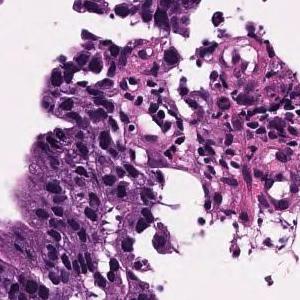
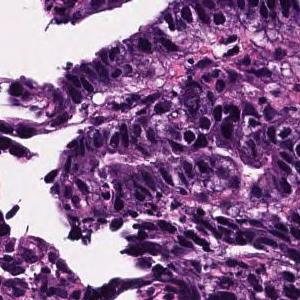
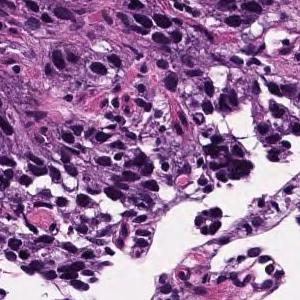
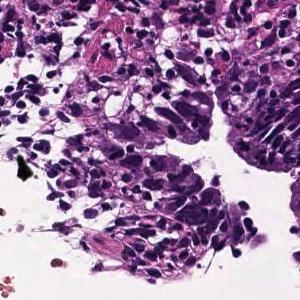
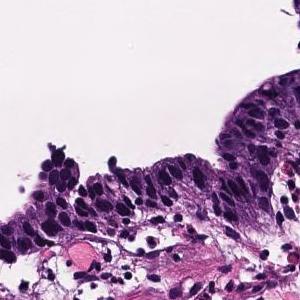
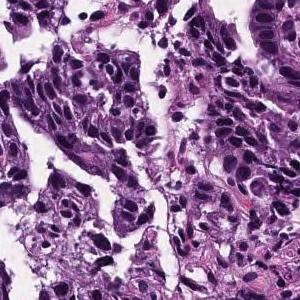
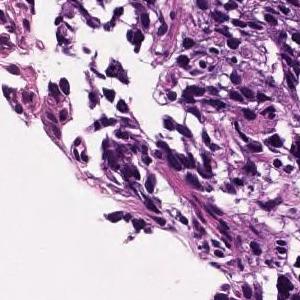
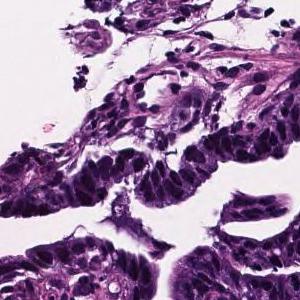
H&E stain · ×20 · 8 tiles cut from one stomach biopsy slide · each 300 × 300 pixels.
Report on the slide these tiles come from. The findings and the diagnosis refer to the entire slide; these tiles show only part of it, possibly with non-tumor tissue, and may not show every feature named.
Atypical l cells with atypical nuclei forming diffuse or small irregular atypical ducts and growing. Moderately to poorly differentiated adenocarcinoma (poorly differentiated adenocarcinoma, solid type moderately differentiated tubular adenocarcinoma)
Histologic type: Moderately to poorly differentiated adenocarcinoma.
The solid type named here is a Japanese Classification of Gastric Carcinoma category; WHO 2019 calls it tubular adenocarcinoma, poorly differentiated.
